15 image tiles from a single gastric biopsy slide · 300×300 px each · H&E · ×20.
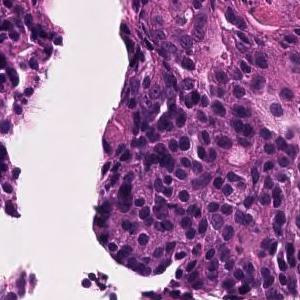
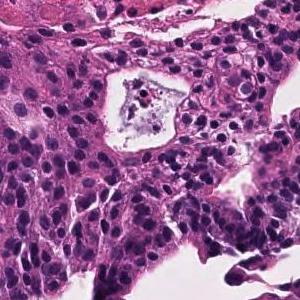
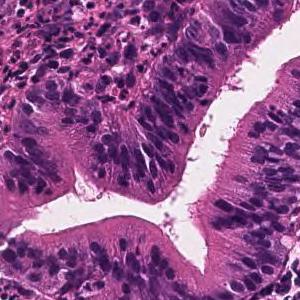
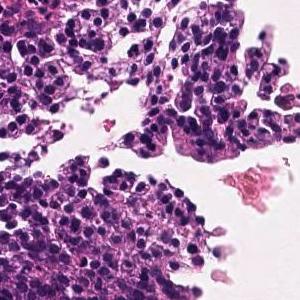
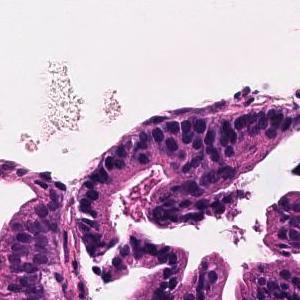
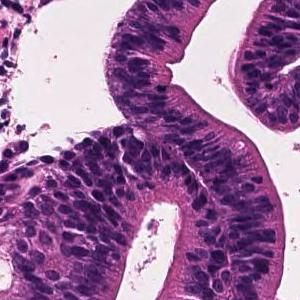
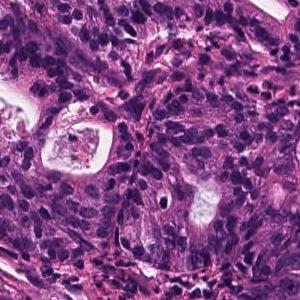
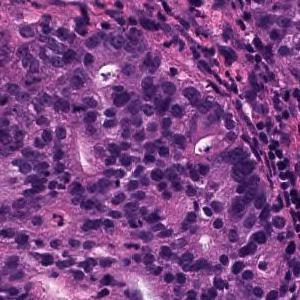
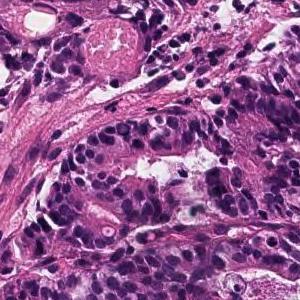
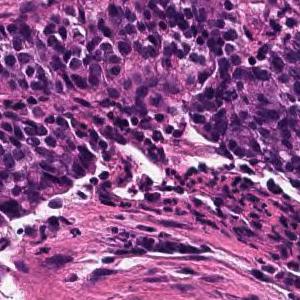
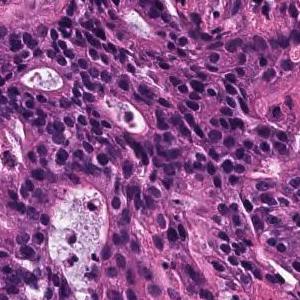
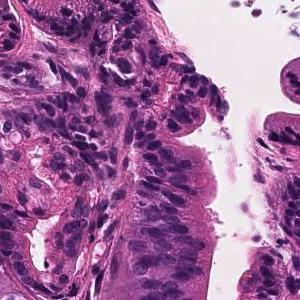
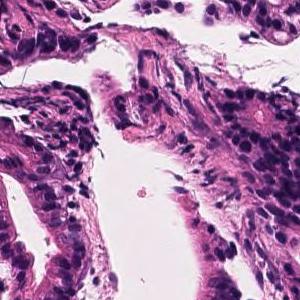
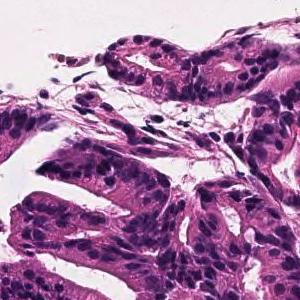
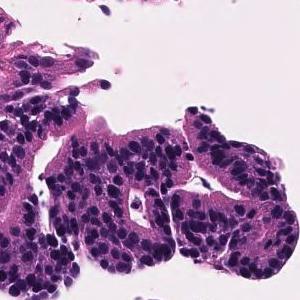
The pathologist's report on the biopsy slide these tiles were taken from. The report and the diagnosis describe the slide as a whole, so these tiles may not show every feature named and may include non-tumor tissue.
In the superficial epithelium, tumor tissue that invades by forming medium-sized to small, irregular ducts is observed. Moderately differentiated adenocarcinoma.
Histological subtype: Moderately differentiated tubular adenocarcinoma.
